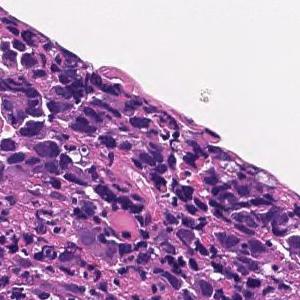
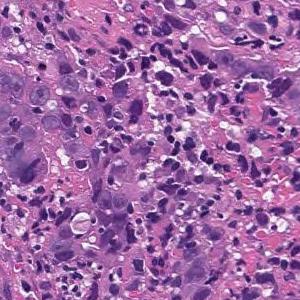
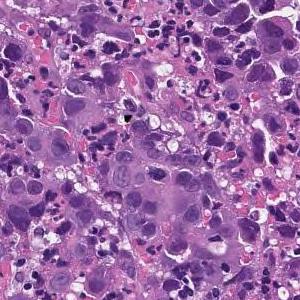
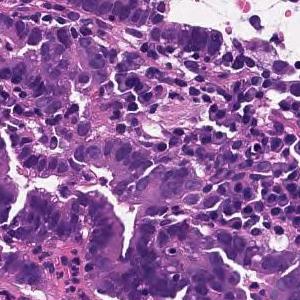
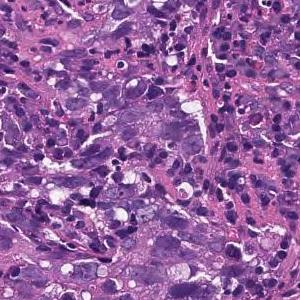
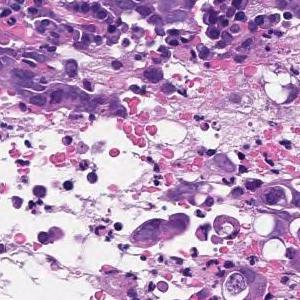
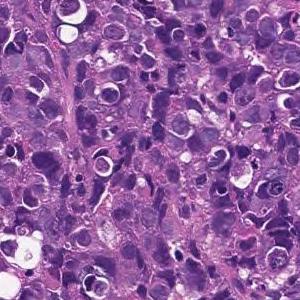
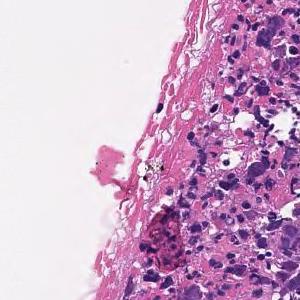
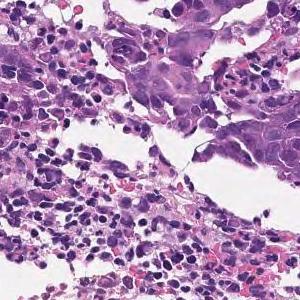
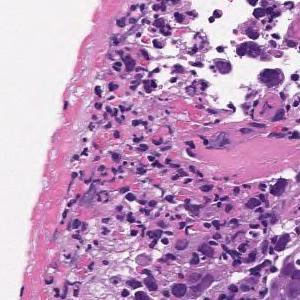
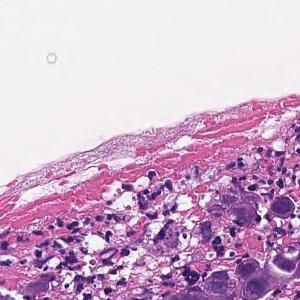
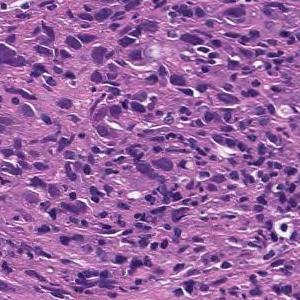
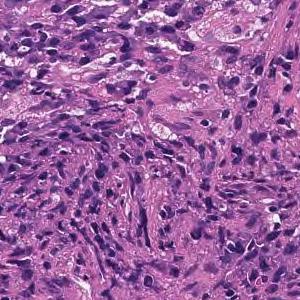
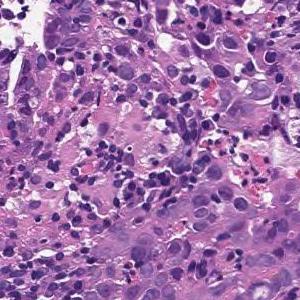
14 tiles from the same stomach biopsy slide · 300×300 px each.
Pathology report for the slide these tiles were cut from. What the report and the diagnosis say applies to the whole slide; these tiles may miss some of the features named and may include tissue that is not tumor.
Tumor tissue consisting of cord-like or small, irregular glandular ducts fused and infiltrated is observed in the superficial epithelium. Poorly differentiated adenocarcinoma, non-solid type
The term "non-solid type" comes from the Japanese Classification of Gastric Carcinoma.
